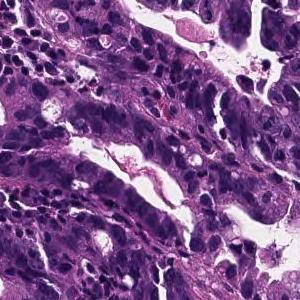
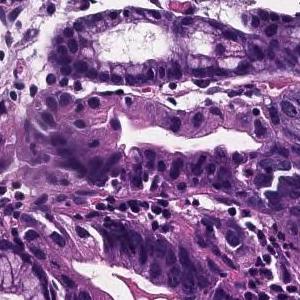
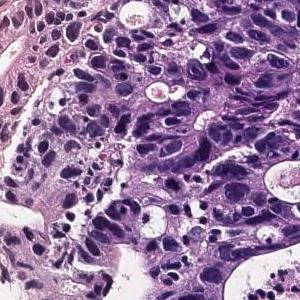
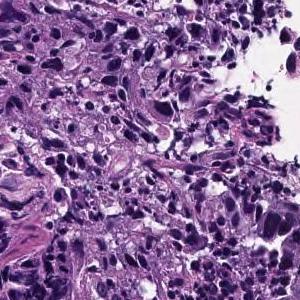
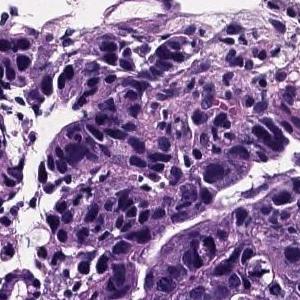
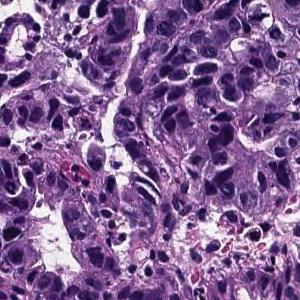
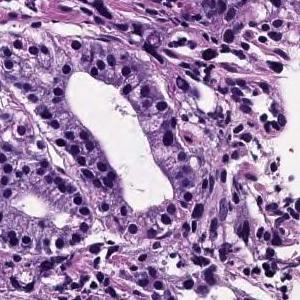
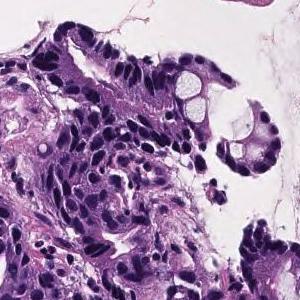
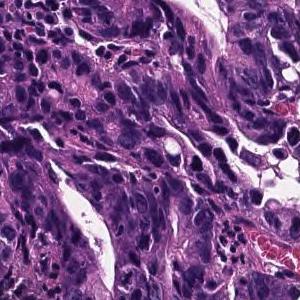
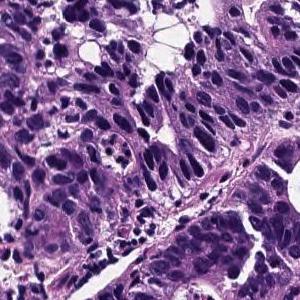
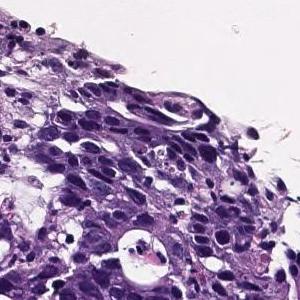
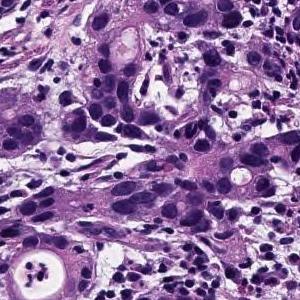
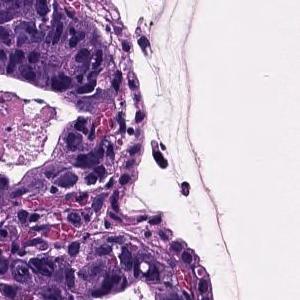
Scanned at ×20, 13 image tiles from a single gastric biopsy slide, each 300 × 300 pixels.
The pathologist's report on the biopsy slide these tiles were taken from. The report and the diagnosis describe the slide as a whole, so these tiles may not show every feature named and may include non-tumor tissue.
In the superficial epithelium, tumor tissue that invades by forming medium-sized to small, irregular ducts is observed. moderately differentiated tubular adenocarcinoma.
